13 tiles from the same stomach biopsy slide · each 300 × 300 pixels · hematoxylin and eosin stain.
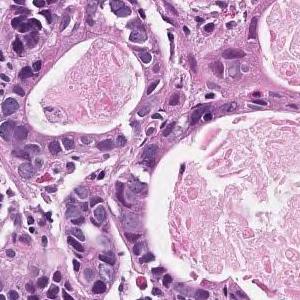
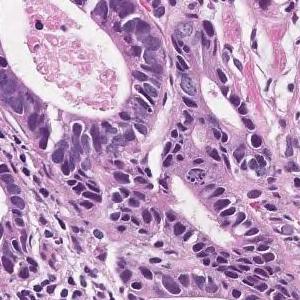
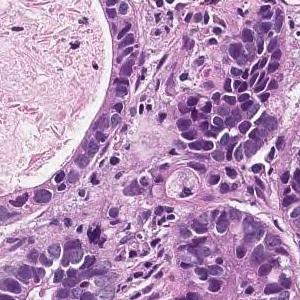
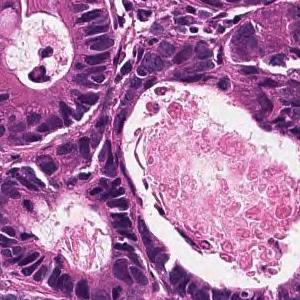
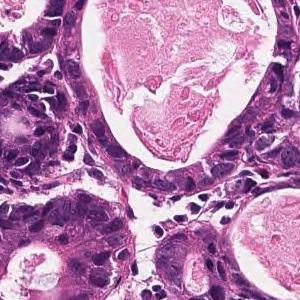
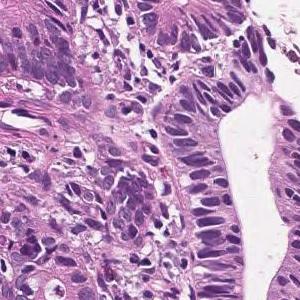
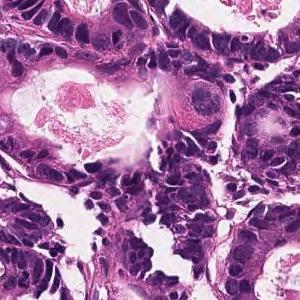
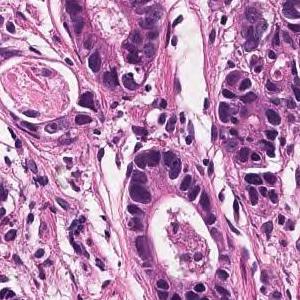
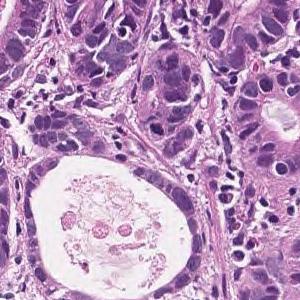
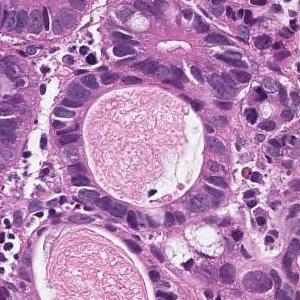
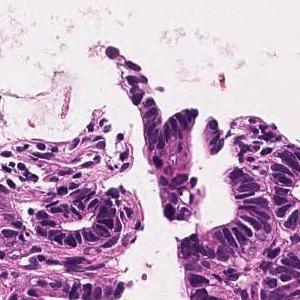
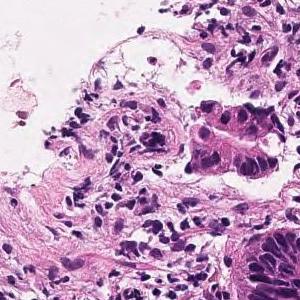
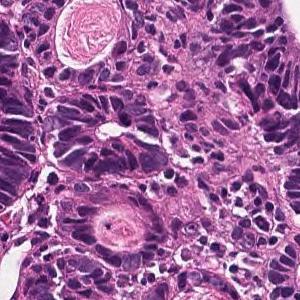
The pathologist's report on the biopsy slide these tiles were taken from. The report and the diagnosis describe the slide as a whole, so these tiles may not show every feature named and may include non-tumor tissue.
In the superficial epithelium, tumor tissue that invades by forming medium-sized to small, irregular ducts is observed. Well differentiated tubular adenocarcinoma.
